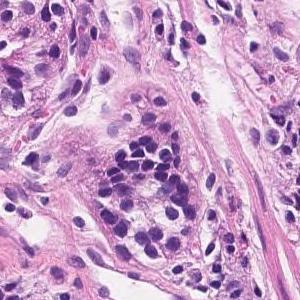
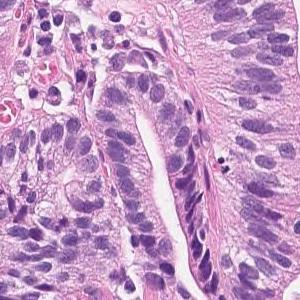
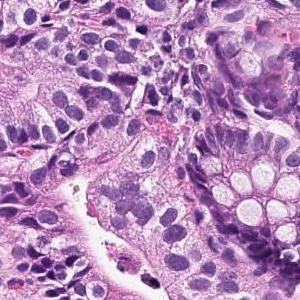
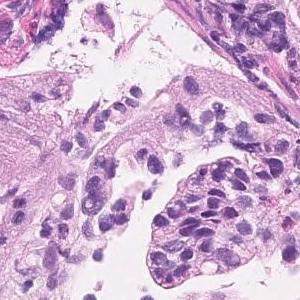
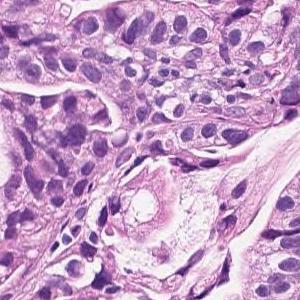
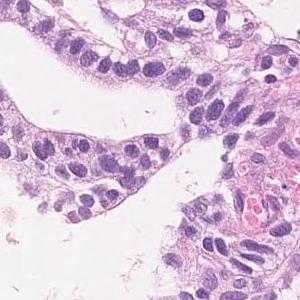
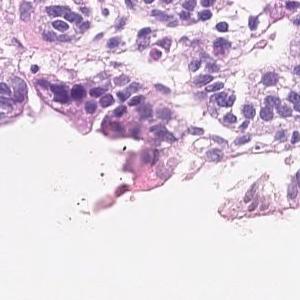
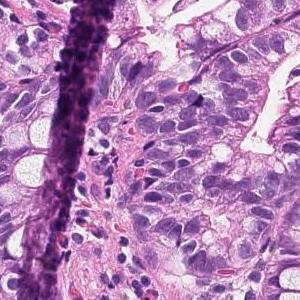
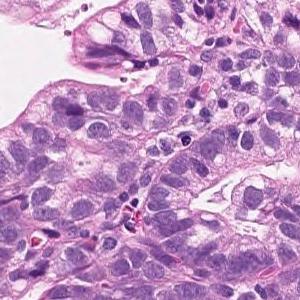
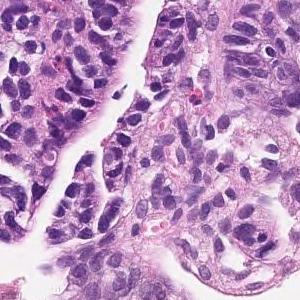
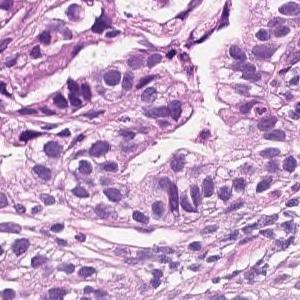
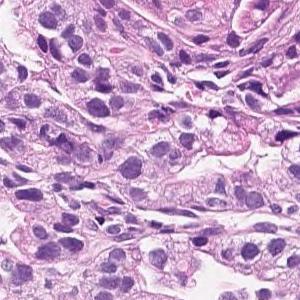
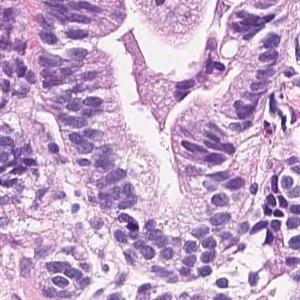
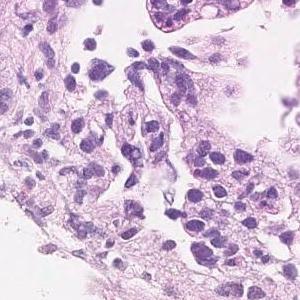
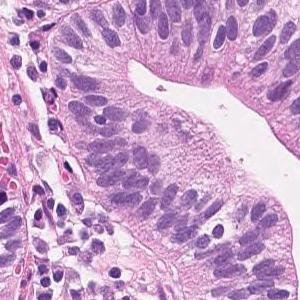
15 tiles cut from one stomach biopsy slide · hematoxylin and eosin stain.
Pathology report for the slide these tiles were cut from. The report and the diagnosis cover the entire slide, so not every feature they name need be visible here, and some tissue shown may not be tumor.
On the superficial epithelium, there is a tumor tissue consisting of medium to small, irregular tubules that are partially fused and proliferated. Well to moderately differentiated tubular adenocarcinoma
